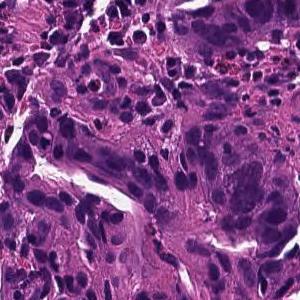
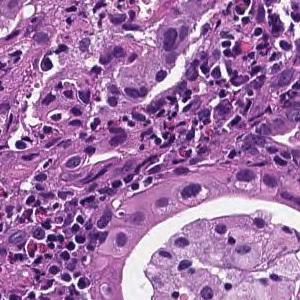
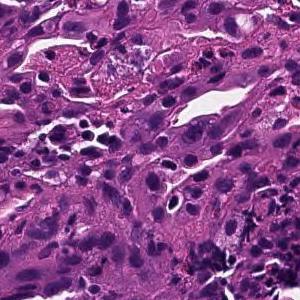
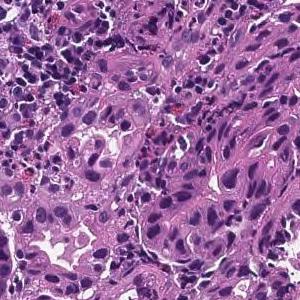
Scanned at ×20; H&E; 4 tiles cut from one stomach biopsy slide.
Pathology report for the biopsy slide these tiles were cut from. The report and the diagnosis cover the entire slide, so not every feature they name need be visible here, and some tissue shown may not be tumor.
In the superficial epithelium, tumor tissue that invades by forming medium-sized to small, irregular ducts is observed. moderately differentiated tubular adenocarcinoma.
